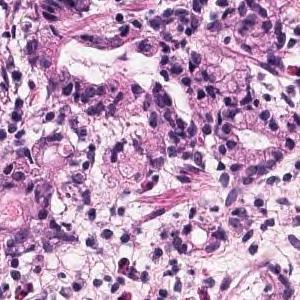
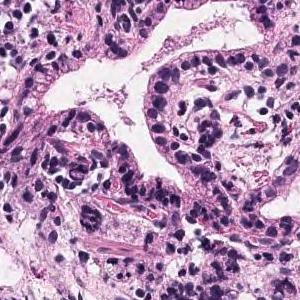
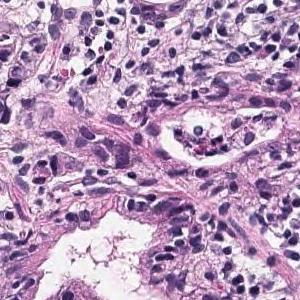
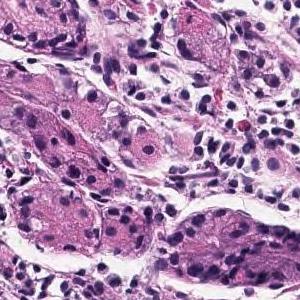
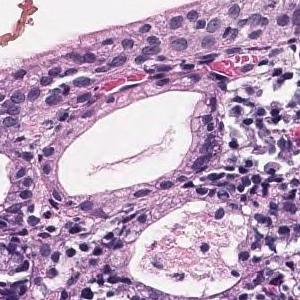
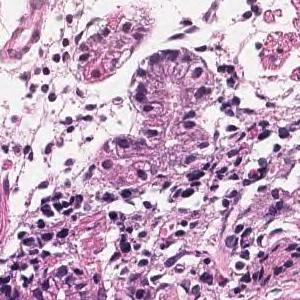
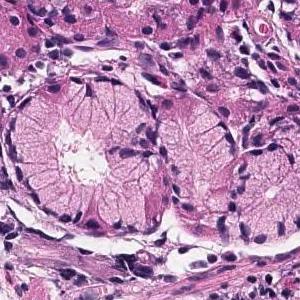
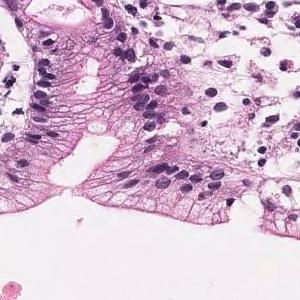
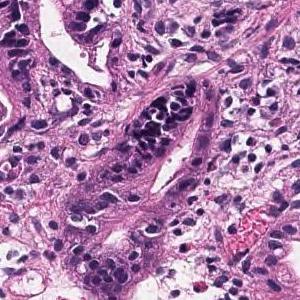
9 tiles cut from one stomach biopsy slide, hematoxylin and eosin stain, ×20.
The pathologist's report on the biopsy slide these tiles were taken from. Both the report and the diagnosis are for the whole slide: these tiles need not show every feature named, and some of the tissue shown may not be tumor.
Tumor tissue that grows and grows is observed, showing a medium-sized round or irregular duct. moderately differentiated tubular adenocarcinoma
